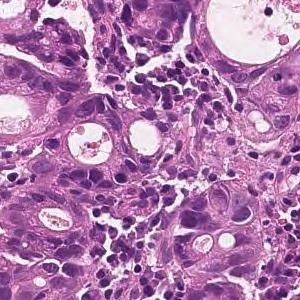
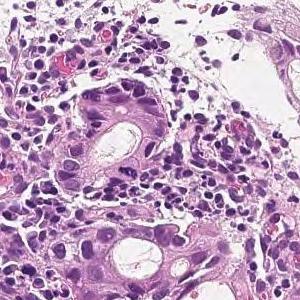
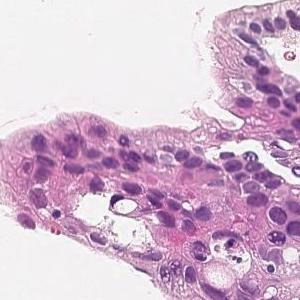
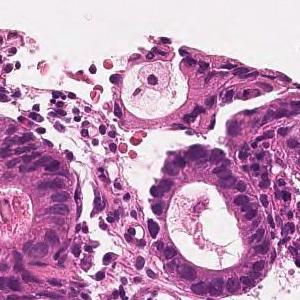
×20, H&E stain, 4 image tiles from a single gastric biopsy slide.
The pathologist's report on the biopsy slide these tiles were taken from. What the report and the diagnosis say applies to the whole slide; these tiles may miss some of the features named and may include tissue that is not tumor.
On the superficial epithelium, tumor tissue is found in which medium-sized irregular gland ducts fuse with each other and infiltrate. moderately differentiated tubular adenocarcinoma
